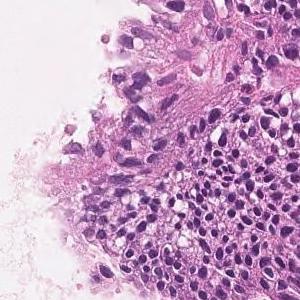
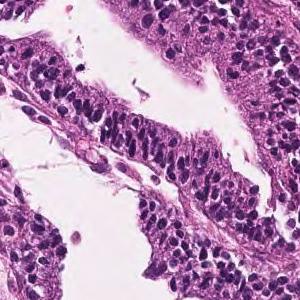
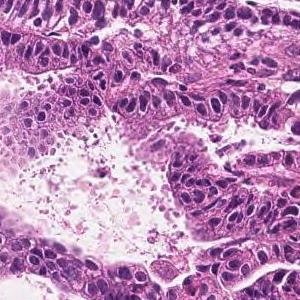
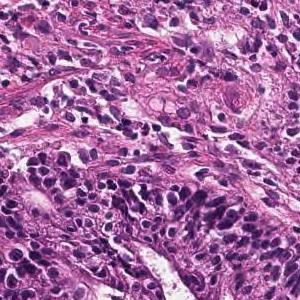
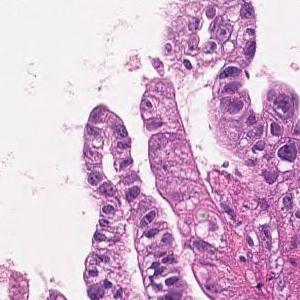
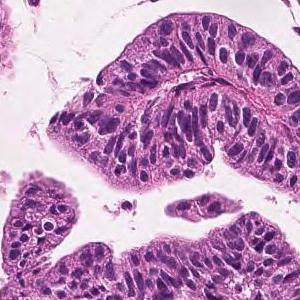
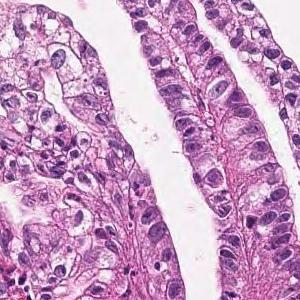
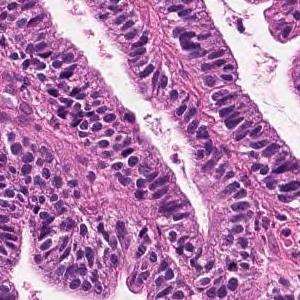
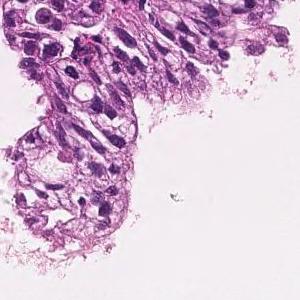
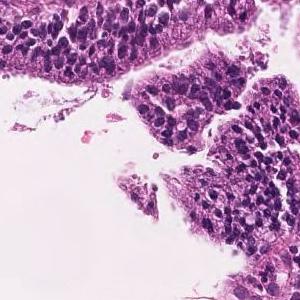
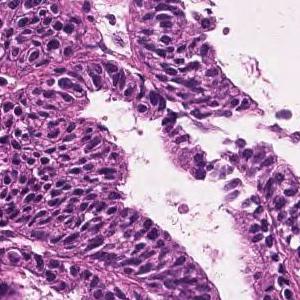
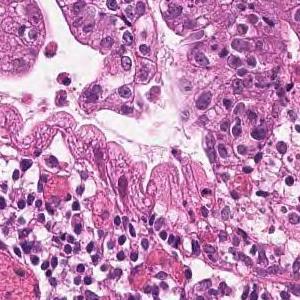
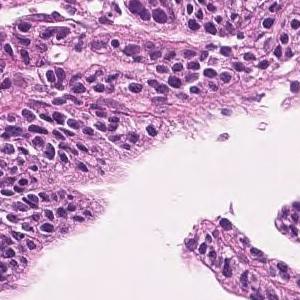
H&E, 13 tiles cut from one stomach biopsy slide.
Pathology report for the slide these tiles were cut from. The report and the diagnosis describe the slide as a whole, so these tiles may not show every feature named and may include non-tumor tissue.
Tumor cells are large, highly columnar, large club-shaped nuclei, and are associated with chromatin aggregation. Papillary adenocarcinoma.
